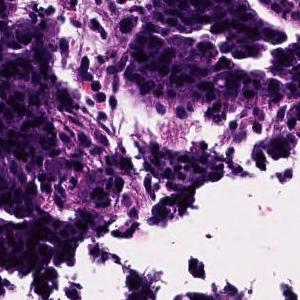
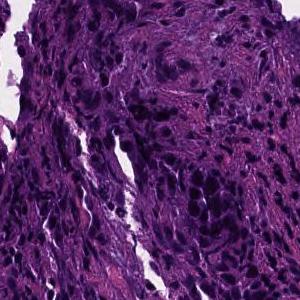
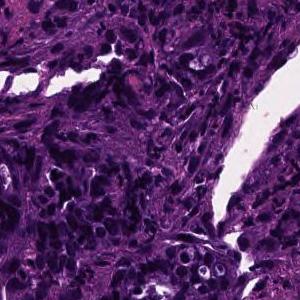
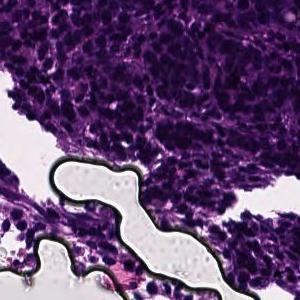
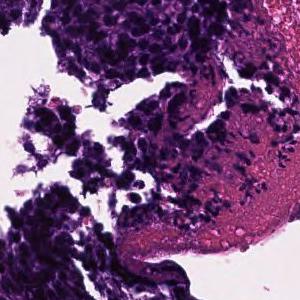
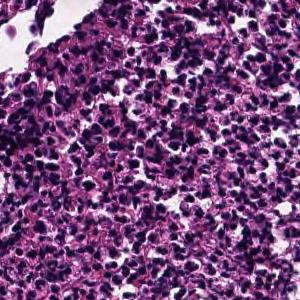
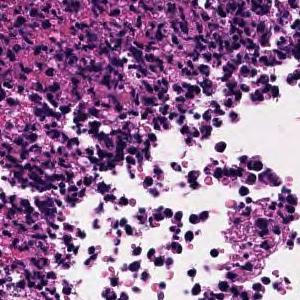
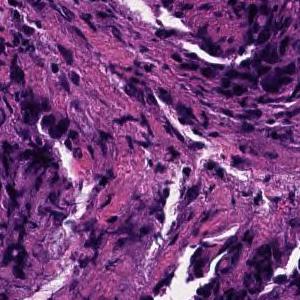
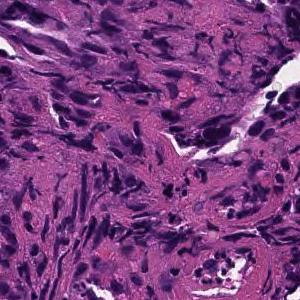
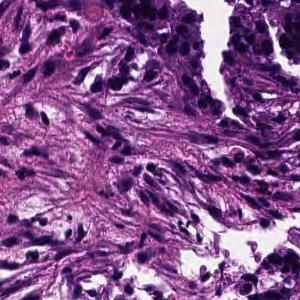
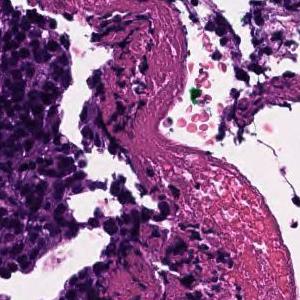
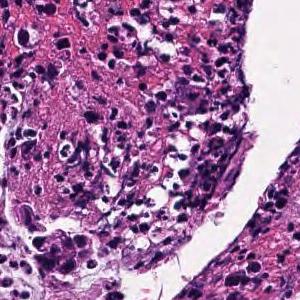
×20; H&E stain; 12 tiles from the same stomach biopsy slide; each 300 × 300 pixels.
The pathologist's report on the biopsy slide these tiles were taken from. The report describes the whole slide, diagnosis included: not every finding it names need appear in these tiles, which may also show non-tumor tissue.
In the superficial epithelium, tumor tissue that invades by forming medium-sized to small, irregular ducts is observed. moderately differentiated tubular adenocarcinoma.
